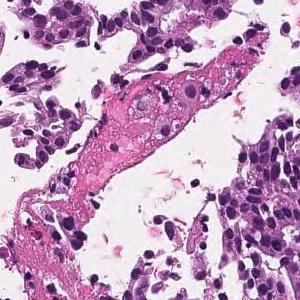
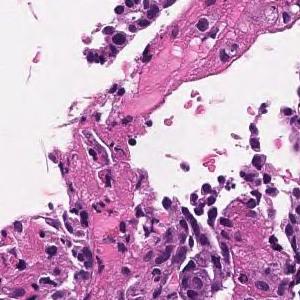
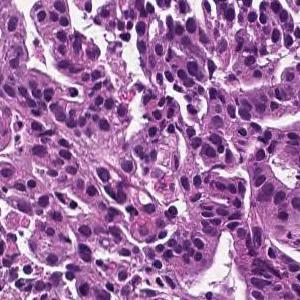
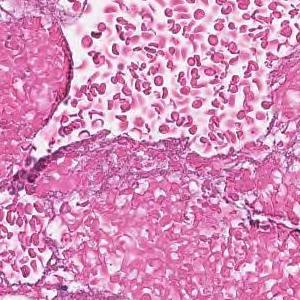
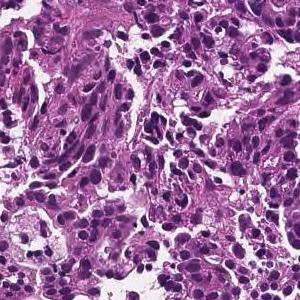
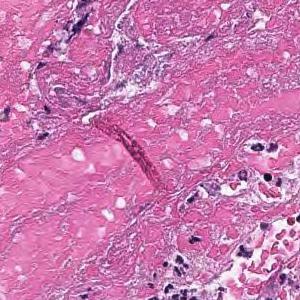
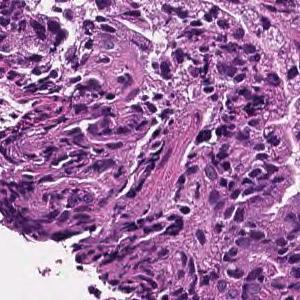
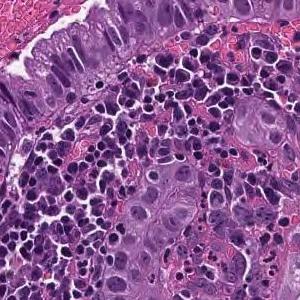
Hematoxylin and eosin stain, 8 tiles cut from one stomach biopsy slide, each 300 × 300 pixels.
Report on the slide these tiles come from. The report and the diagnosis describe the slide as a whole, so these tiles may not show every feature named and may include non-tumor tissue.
On the superficial epithelium, tumor tissue that infiltrates by forming medium-sized papillary or small irregular ducts is observed. Papillary adenocarcinoma
